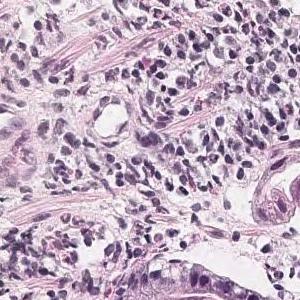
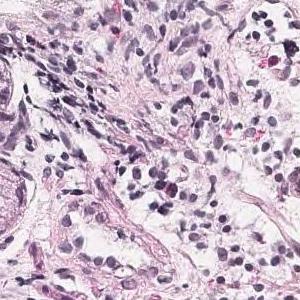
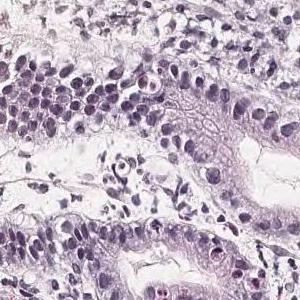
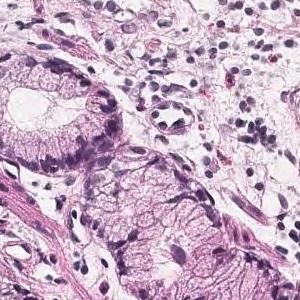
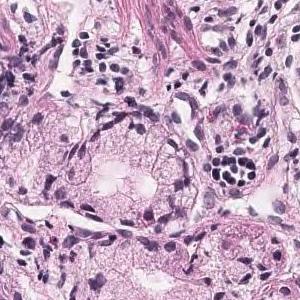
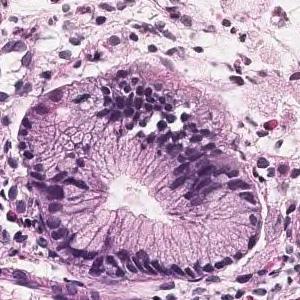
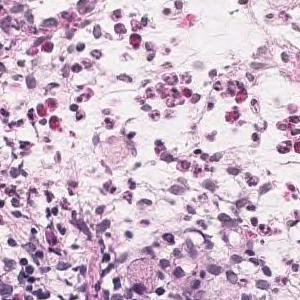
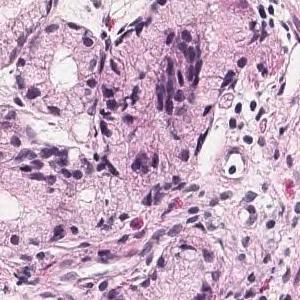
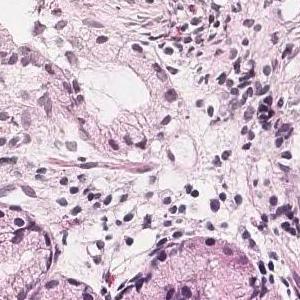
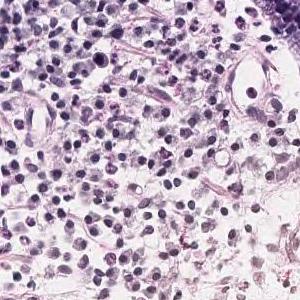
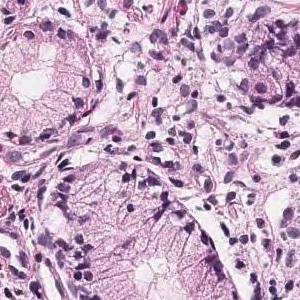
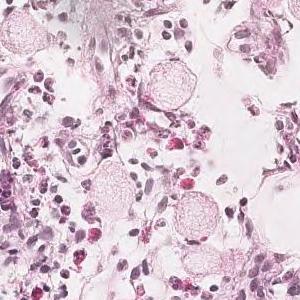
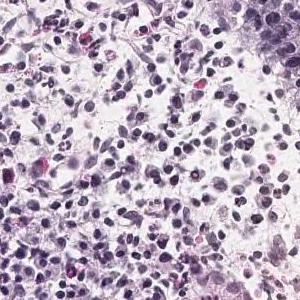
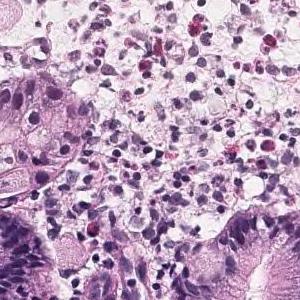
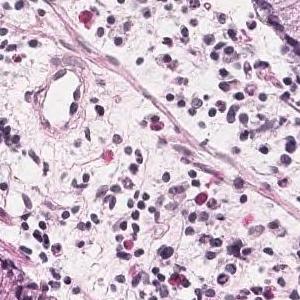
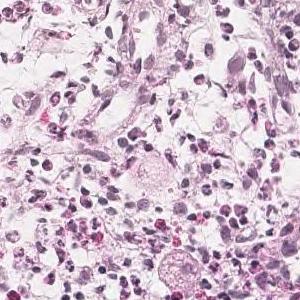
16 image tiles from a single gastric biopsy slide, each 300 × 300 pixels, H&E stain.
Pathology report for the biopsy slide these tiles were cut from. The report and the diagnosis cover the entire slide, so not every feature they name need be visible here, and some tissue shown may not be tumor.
Tumor tissue is observed in which atypical epithelial cells with mucus in the vesicles proliferate while being isolated. Signet ring cell carcinoma
